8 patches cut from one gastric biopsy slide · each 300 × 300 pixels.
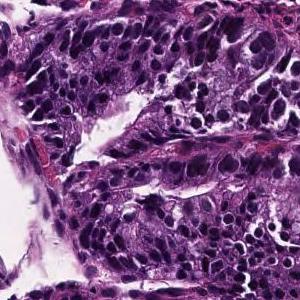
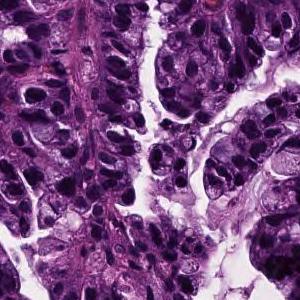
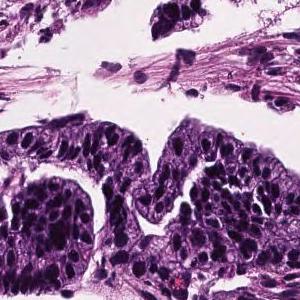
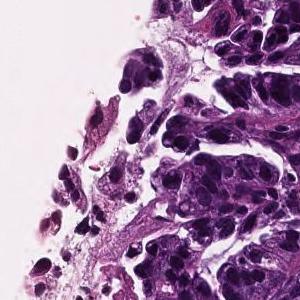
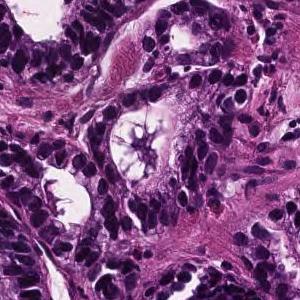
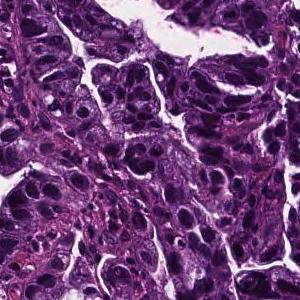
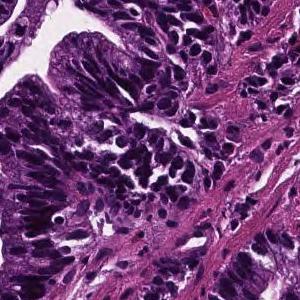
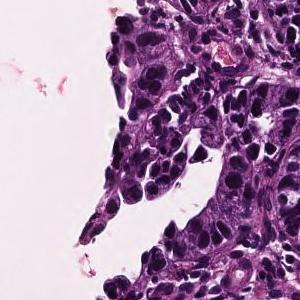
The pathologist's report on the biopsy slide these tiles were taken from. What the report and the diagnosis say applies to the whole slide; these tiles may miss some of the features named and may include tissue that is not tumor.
In the superficial epithelium, tumor tissue that invades by forming medium-sized to small, irregular ducts is observed. Well differentiated tubular adenocarcinoma.
